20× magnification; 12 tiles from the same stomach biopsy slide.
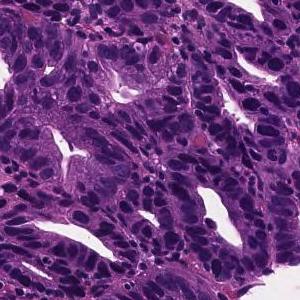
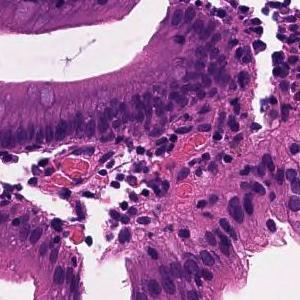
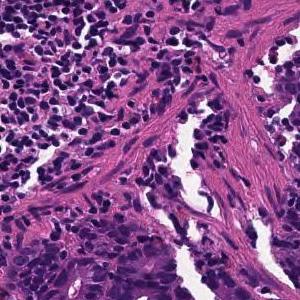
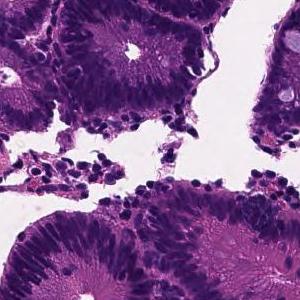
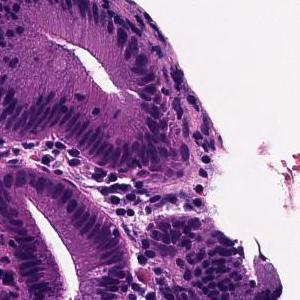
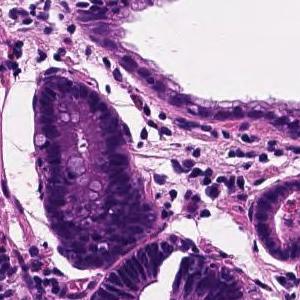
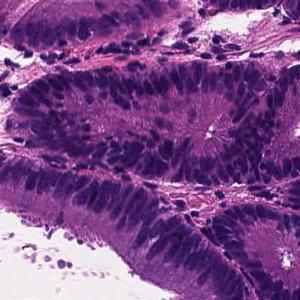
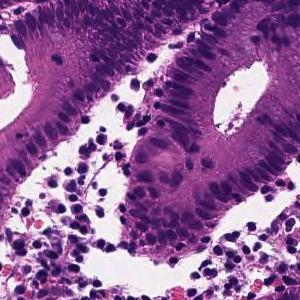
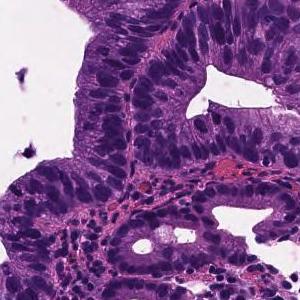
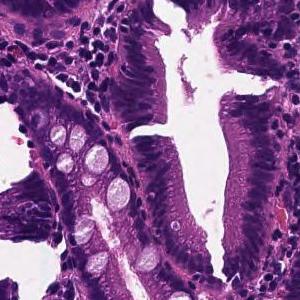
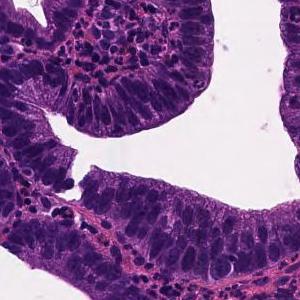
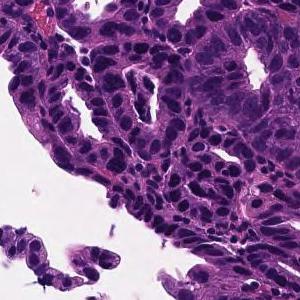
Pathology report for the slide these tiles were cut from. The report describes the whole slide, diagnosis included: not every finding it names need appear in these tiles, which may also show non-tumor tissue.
Tumor tissue in which medium to small irregular ducts infiltrate and proliferate in the submucosa can be seen in the epithelium. Well differentiated tubular adenocarcinoma
